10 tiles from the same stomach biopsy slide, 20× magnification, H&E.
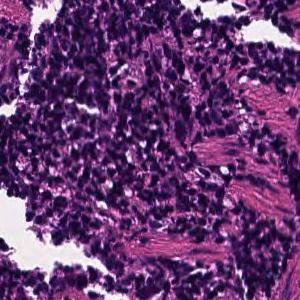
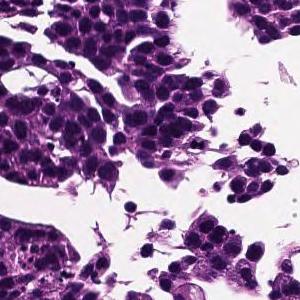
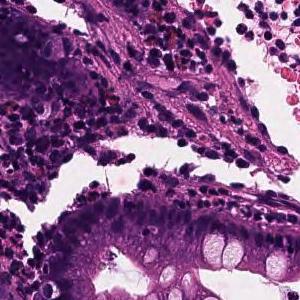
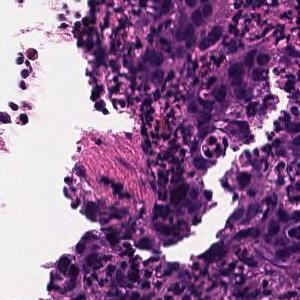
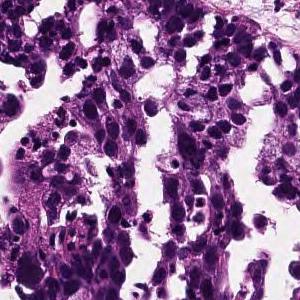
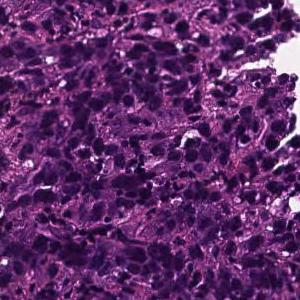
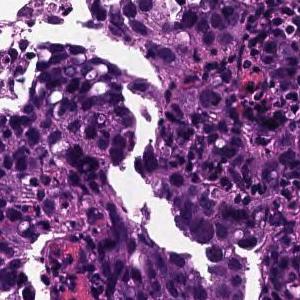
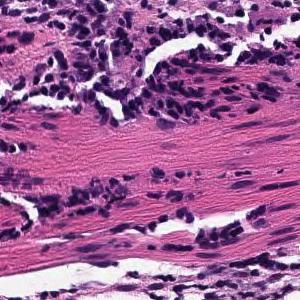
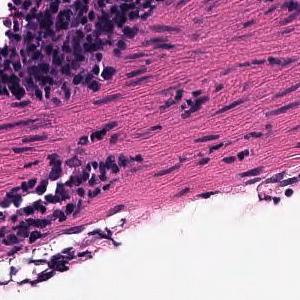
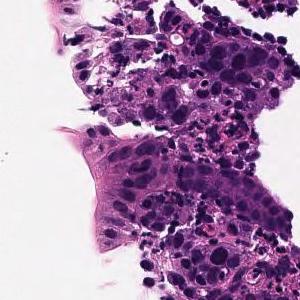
Pathology report for the slide these tiles were cut from. The report and the diagnosis cover the entire slide, so not every feature they name need be visible here, and some tissue shown may not be tumor.
Tumor tissue consisting of cord-like or small, irregular glandular ducts fused and infiltrated is observed in the superficial epithelium. Poorly differentiated adenocarcinoma, non-solid type
The non-solid type named here is a Japanese Classification of Gastric Carcinoma category.
